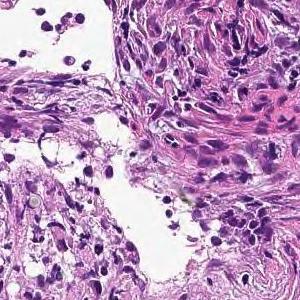
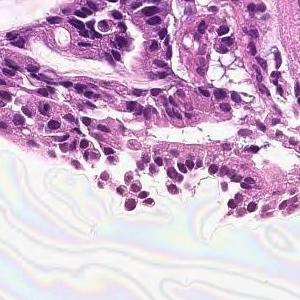
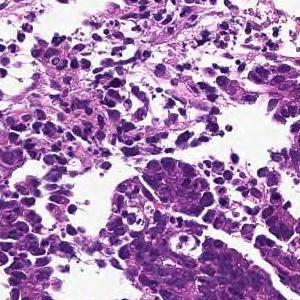
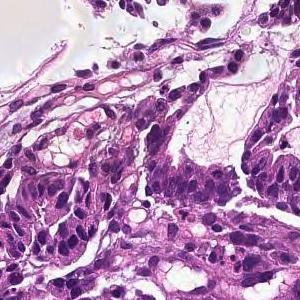
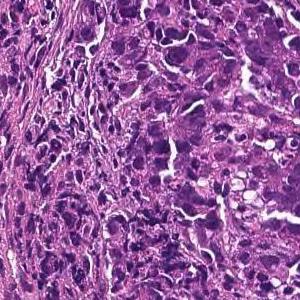
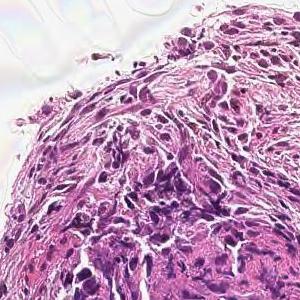
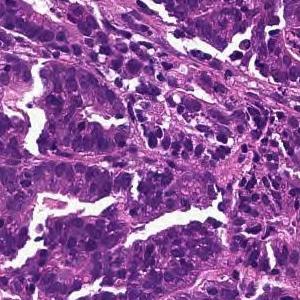
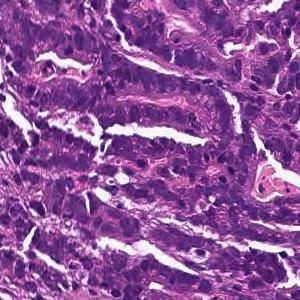
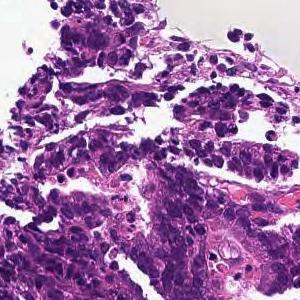
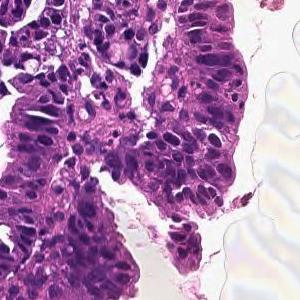
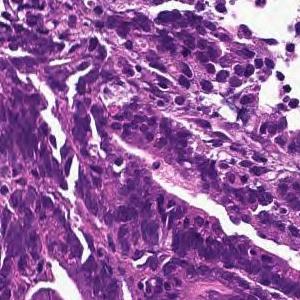
11 image tiles from a single gastric biopsy slide · hematoxylin and eosin stain · 20× magnification.
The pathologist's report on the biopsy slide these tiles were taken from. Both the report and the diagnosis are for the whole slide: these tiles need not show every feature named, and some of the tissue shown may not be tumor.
In the superficial epithelium, tumor tissue that invades by forming medium-sized to small, irregular ducts is observed. moderately differentiated tubular adenocarcinoma.
